Hematoxylin and eosin stain; 4 tiles cut from one stomach biopsy slide.
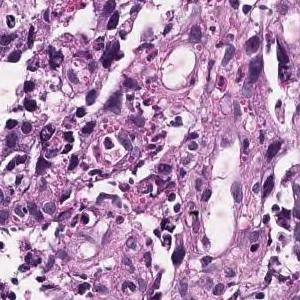
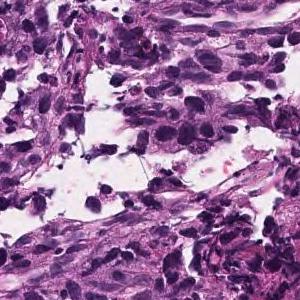
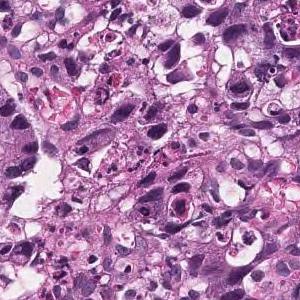
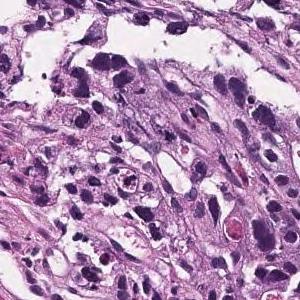
The pathologist's report on the biopsy slide these tiles were taken from. The findings and the diagnosis refer to the entire slide; these tiles show only part of it, possibly with non-tumor tissue, and may not show every feature named.
Tumor tissue consisting of medium-sized, cord-like or irregular glandular infiltration is observed in the superficial epithelium. Poorly differentiated adenocarcinoma, non-solid type or moderately differentiated tubular adenocarcinoma
The term "non-solid type" comes from the Japanese Classification of Gastric Carcinoma.
